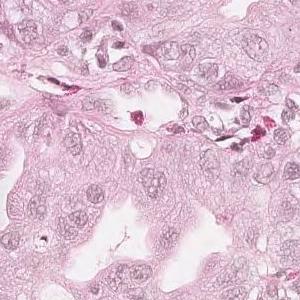
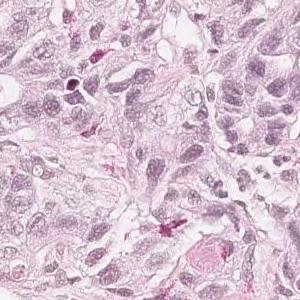
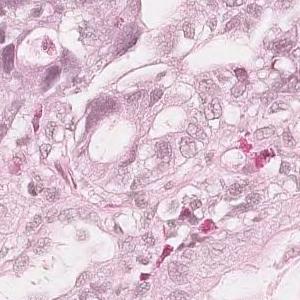
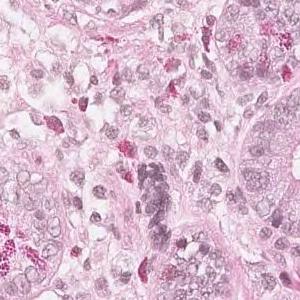
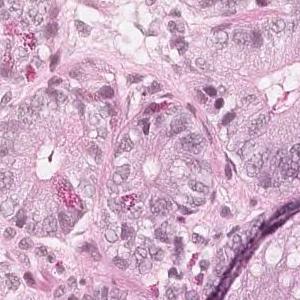
5 patches cut from one gastric biopsy slide · H&E · ×20.
Diagnostic report for the slide these tiles come from. Both the report and the diagnosis are for the whole slide: these tiles need not show every feature named, and some of the tissue shown may not be tumor.
Medium to small, irregular glandular ducts are formed in the superficial epithelium, and in some cases, the glandular ducts are fused to show solid alveolar lesions and infiltrating tumor tissue is observed. Moderately to poorly differentiated adenocarcinoma.
